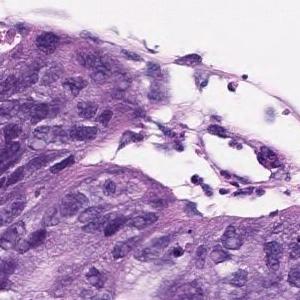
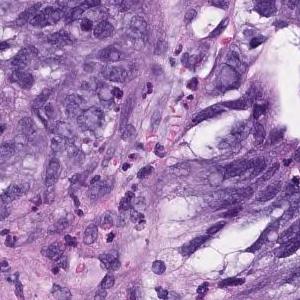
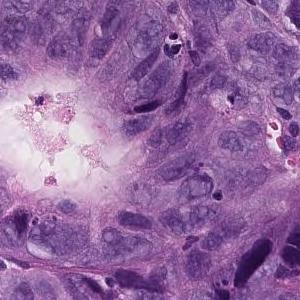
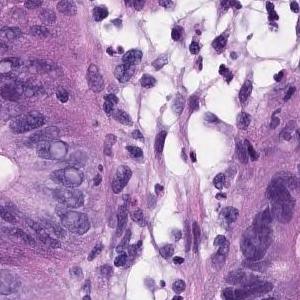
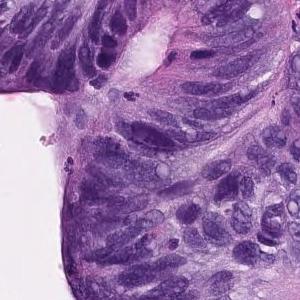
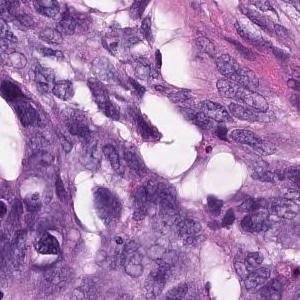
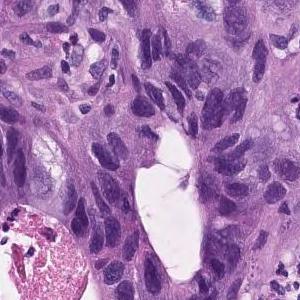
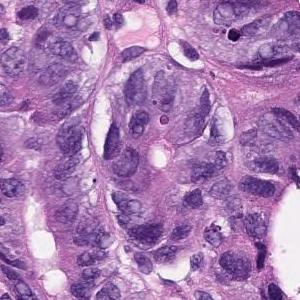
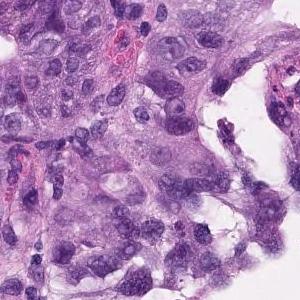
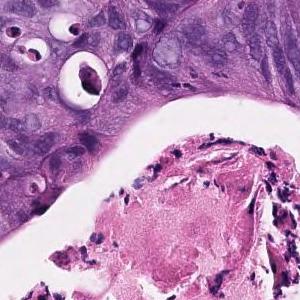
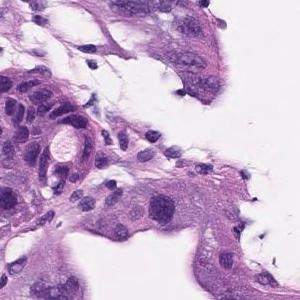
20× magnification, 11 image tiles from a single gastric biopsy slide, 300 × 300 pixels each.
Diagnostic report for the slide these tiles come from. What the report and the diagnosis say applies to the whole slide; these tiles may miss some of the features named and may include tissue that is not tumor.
In the superficial epithelium, tumor tissue that invades by forming medium-sized to small, irregular ducts is observed. Moderately differentiated adenocarcinoma.
Histological subtype: Moderately differentiated tubular adenocarcinoma.
